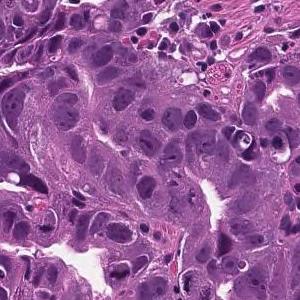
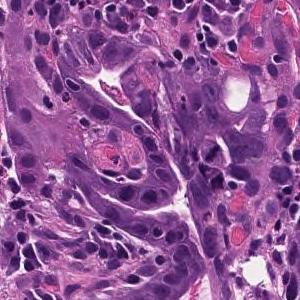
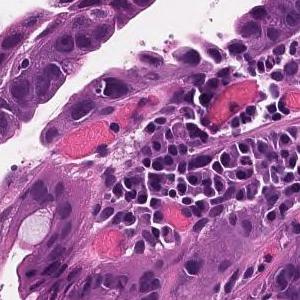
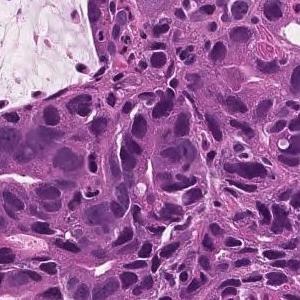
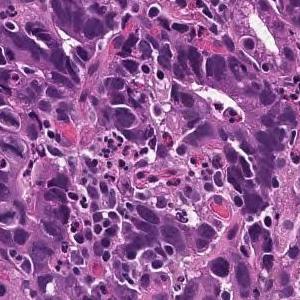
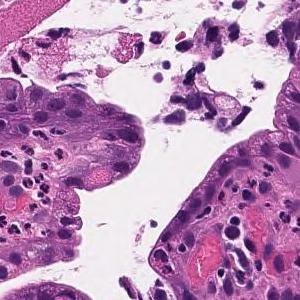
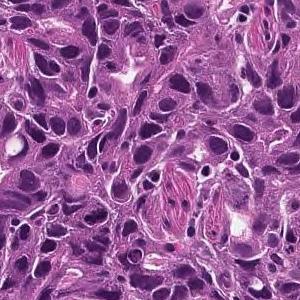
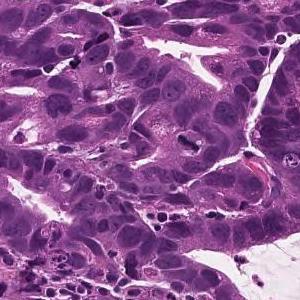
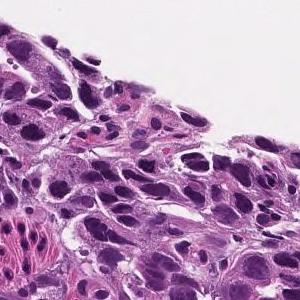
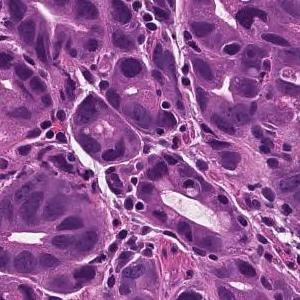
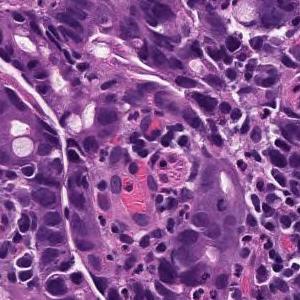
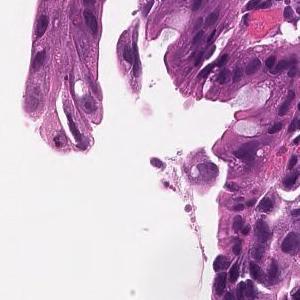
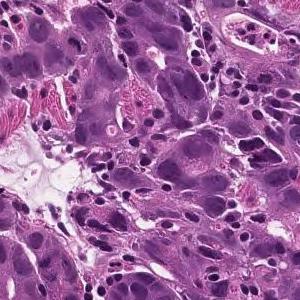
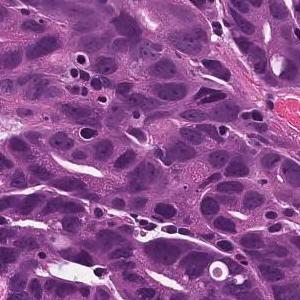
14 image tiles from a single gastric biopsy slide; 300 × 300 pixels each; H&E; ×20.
Pathology report for the biopsy slide these tiles were cut from. The report describes the whole slide, diagnosis included: not every finding it names need appear in these tiles, which may also show non-tumor tissue.
On the superficial epithelium, tumor tissue is found in which medium-sized irregular gland ducts fuse with each other and infiltrate. moderately differentiated tubular adenocarcinoma
